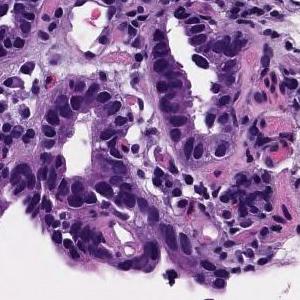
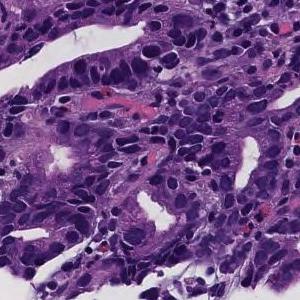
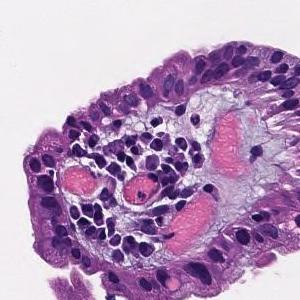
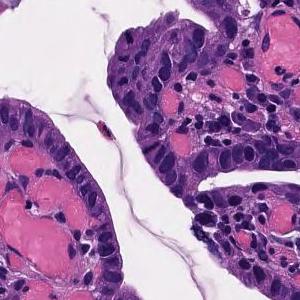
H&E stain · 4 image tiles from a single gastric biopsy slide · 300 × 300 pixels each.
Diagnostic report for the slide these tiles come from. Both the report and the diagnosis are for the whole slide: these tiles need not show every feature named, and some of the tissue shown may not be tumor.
From the superficial epithelium to the muscularis mucosae, tumor tissue consisting of medium-sized and irregular glandular ducts infiltrating is observed. Well differentiated tubular adenocarcinoma
